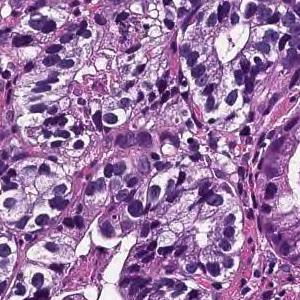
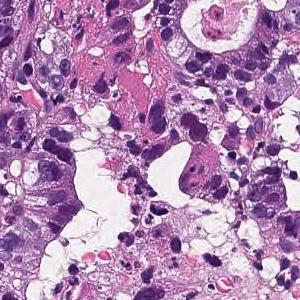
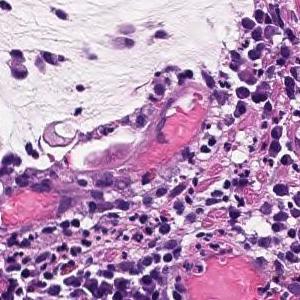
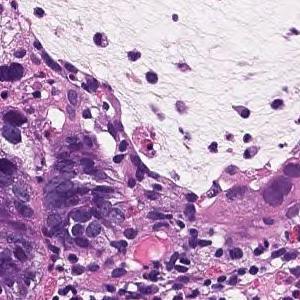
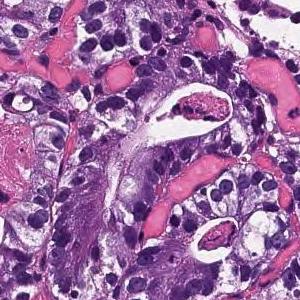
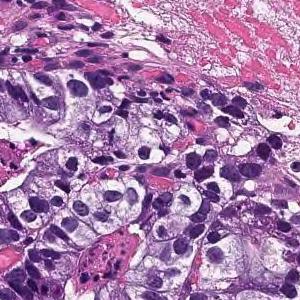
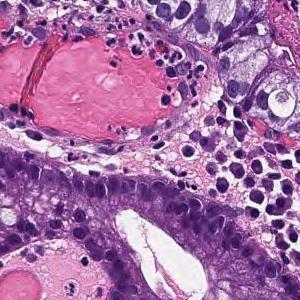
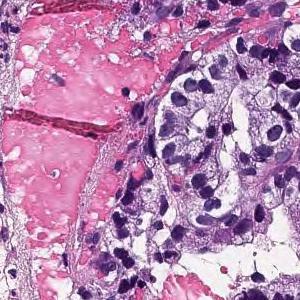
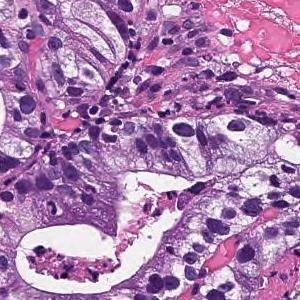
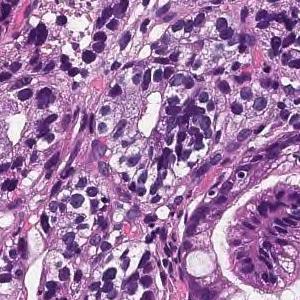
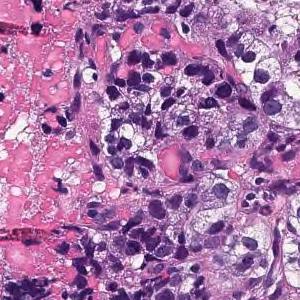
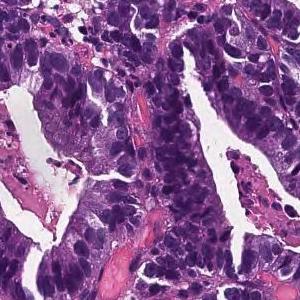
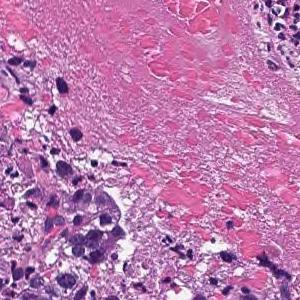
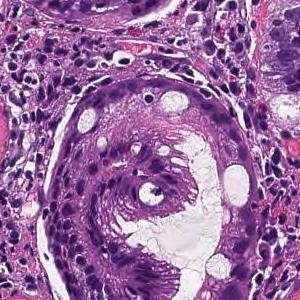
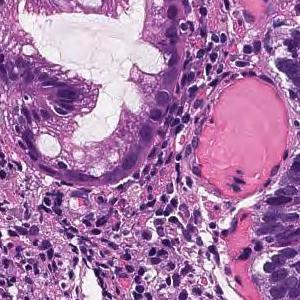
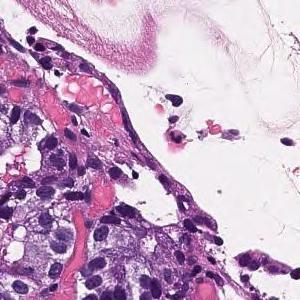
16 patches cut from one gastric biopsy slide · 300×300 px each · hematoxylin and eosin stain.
Report on the slide these tiles come from. The report and the diagnosis cover the entire slide, so not every feature they name need be visible here, and some tissue shown may not be tumor.
From the superficial epithelium to the muscularis mucosae, tumor tissue consisting of medium-sized and irregular glandular ducts infiltrating is observed. Well differentiated tubular adenocarcinoma
